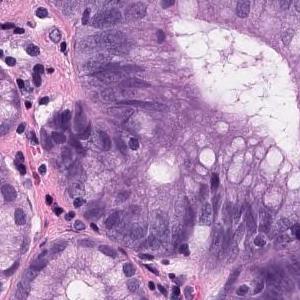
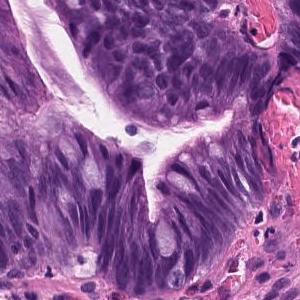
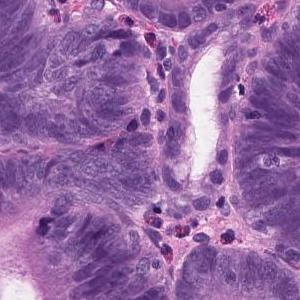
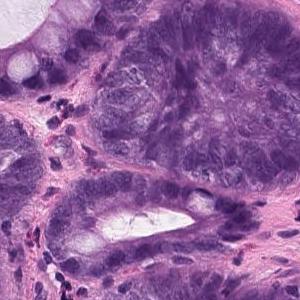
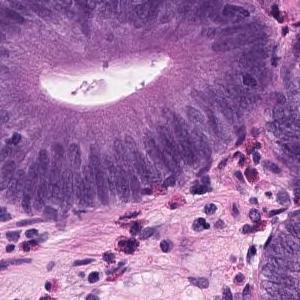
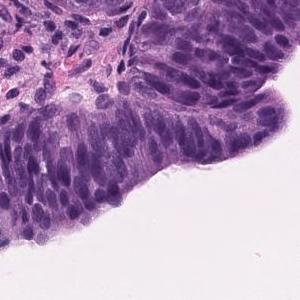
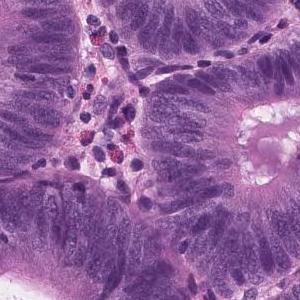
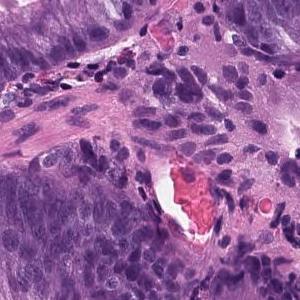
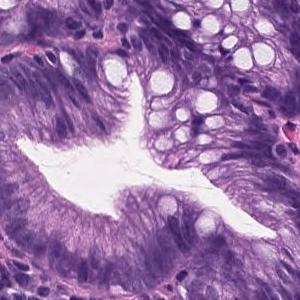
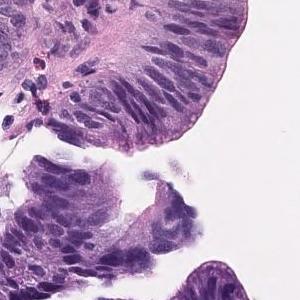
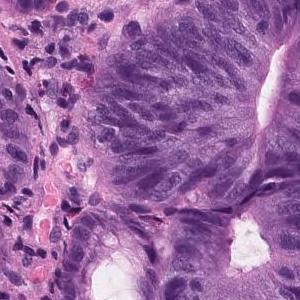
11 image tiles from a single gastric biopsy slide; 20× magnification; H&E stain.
Diagnostic report for the slide these tiles come from. Both the report and the diagnosis are for the whole slide: these tiles need not show every feature named, and some of the tissue shown may not be tumor.
On the superficial epithelium, tumor tissue with densely growing medium to large, round tubules is observed. Tumor cells are highly columnar, with nuclei aligned basolaterally and polarized. Well differentiated tubular adenocarcinoma
